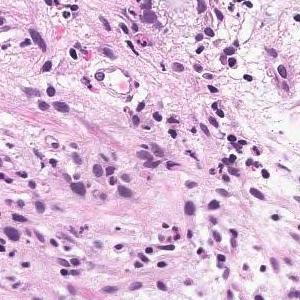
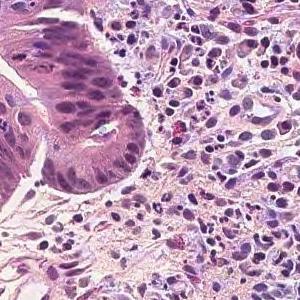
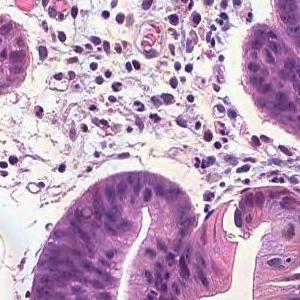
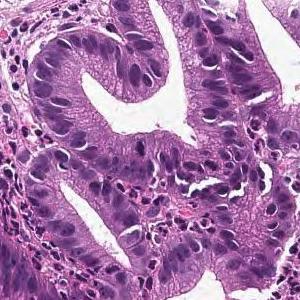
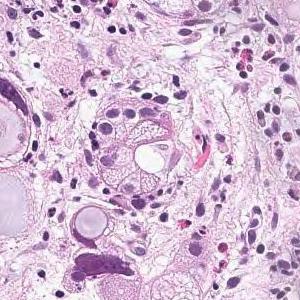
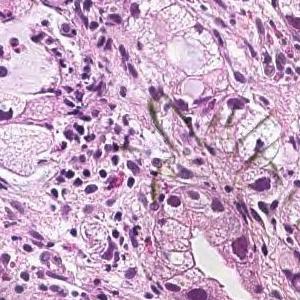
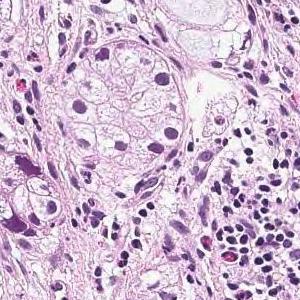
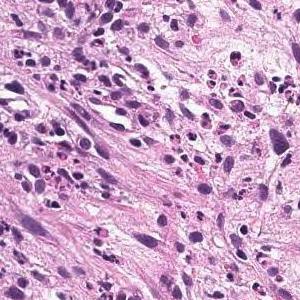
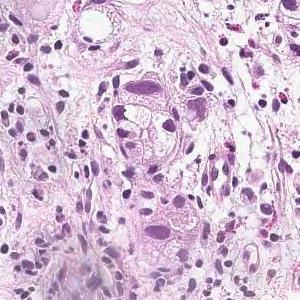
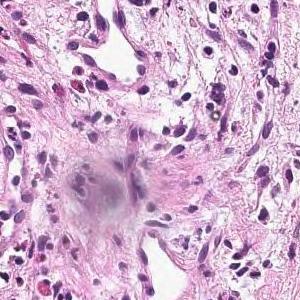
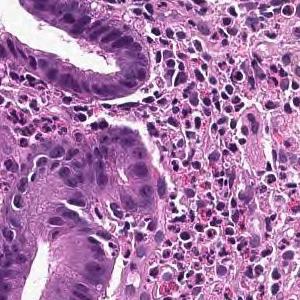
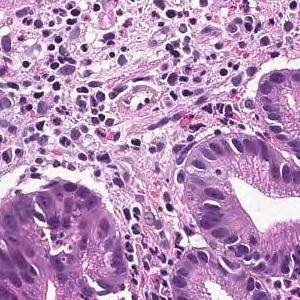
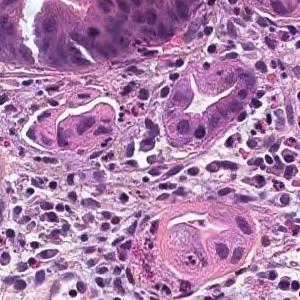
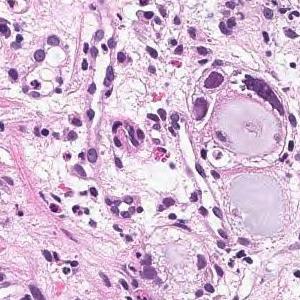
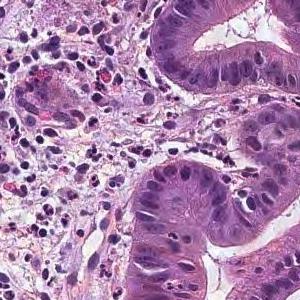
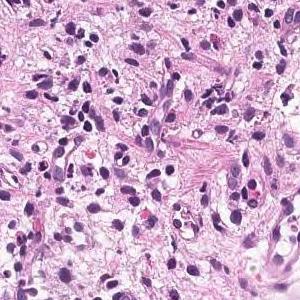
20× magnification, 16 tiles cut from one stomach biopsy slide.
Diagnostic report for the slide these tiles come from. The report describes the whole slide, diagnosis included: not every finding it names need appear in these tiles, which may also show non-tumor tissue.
On the superficial epithelium, tumor tissue that infiltrates by forming medium-sized papillary or small irregular ducts is observed. Papillary adenocarcinoma
